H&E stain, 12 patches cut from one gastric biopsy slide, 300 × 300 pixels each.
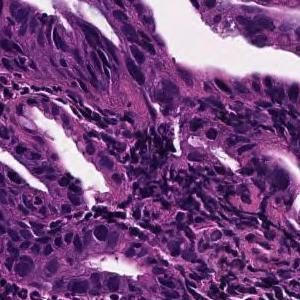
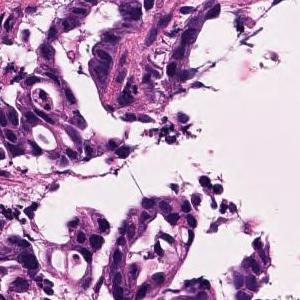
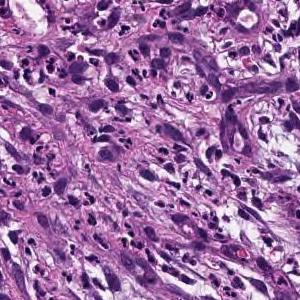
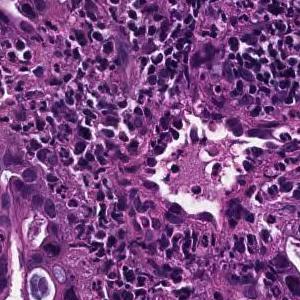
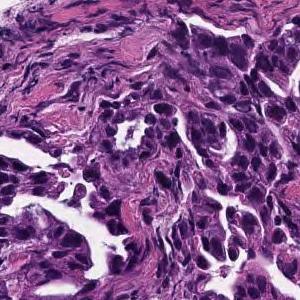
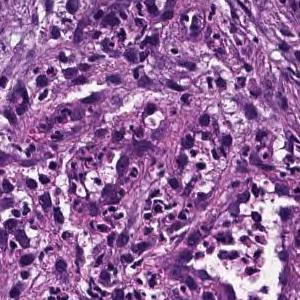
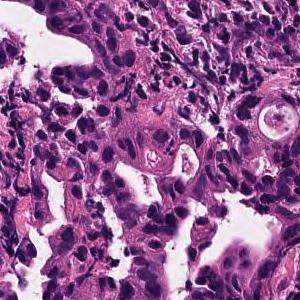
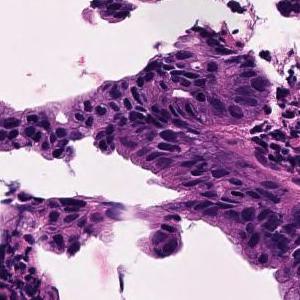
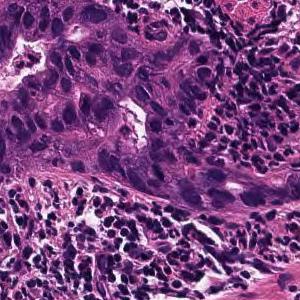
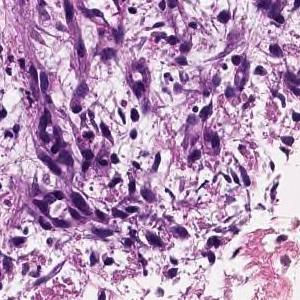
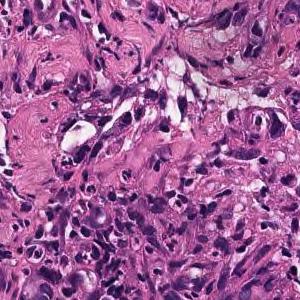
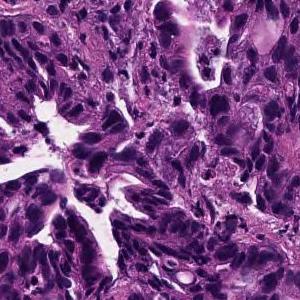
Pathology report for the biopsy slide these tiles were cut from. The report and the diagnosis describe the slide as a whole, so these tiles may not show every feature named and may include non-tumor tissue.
In the superficial epithelium, medium-sized to small irregular glandular ducts are formed, and in some cases, the glandular ducts are fused or small cord-like infiltrating tumor tissue is observed. moderately differentiated tubular adenocarcinoma
